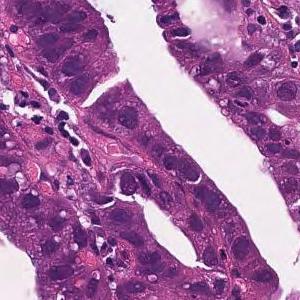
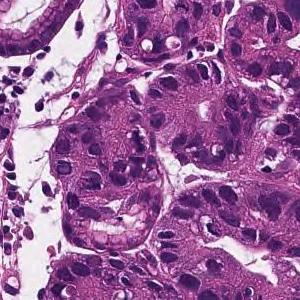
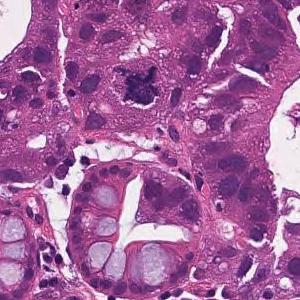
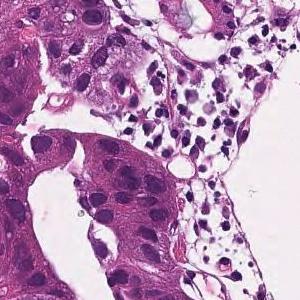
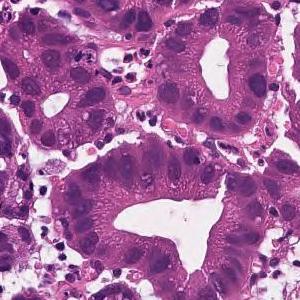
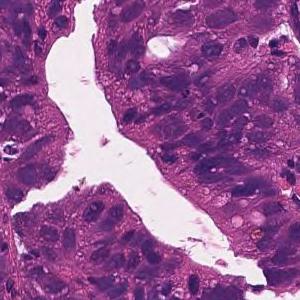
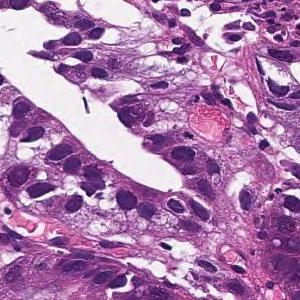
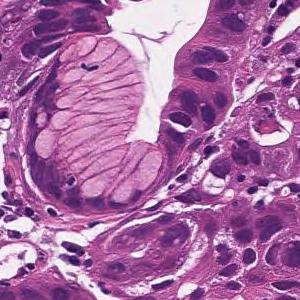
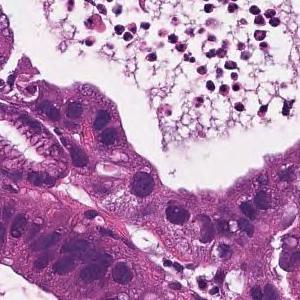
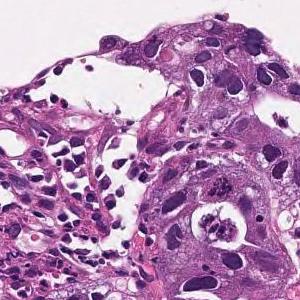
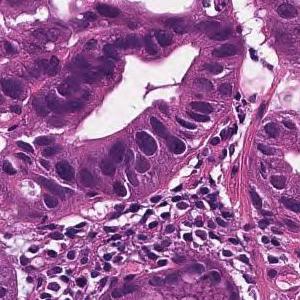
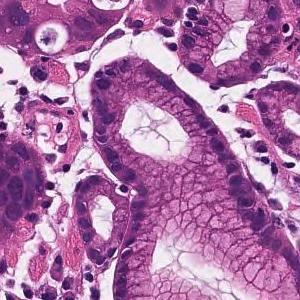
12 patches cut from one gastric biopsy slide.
Report on the slide these tiles come from. The report describes the whole slide, diagnosis included: not every finding it names need appear in these tiles, which may also show non-tumor tissue.
In the superficial epithelium, tumor tissue that invades by forming medium-sized to small, irregular ducts is observed. moderately differentiated tubular adenocarcinoma.
